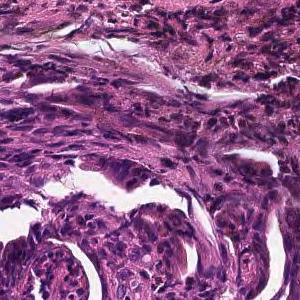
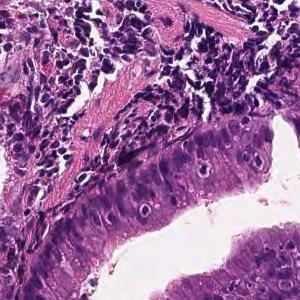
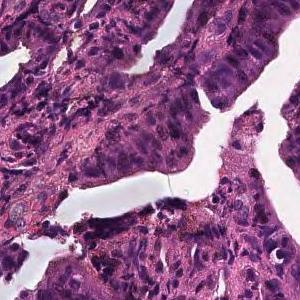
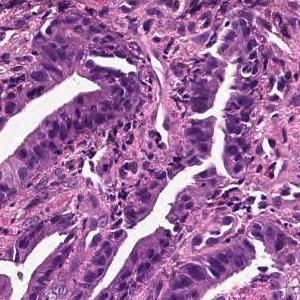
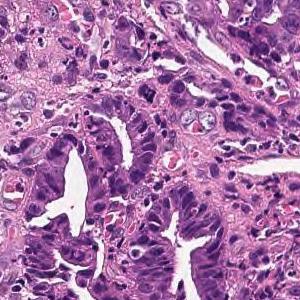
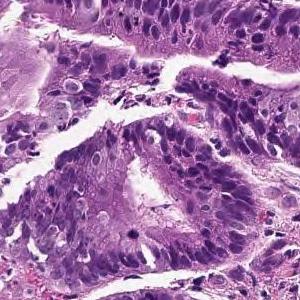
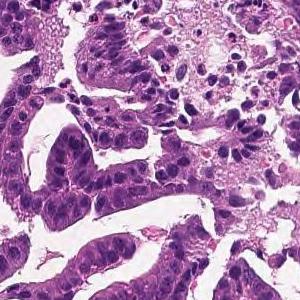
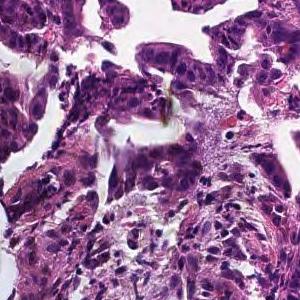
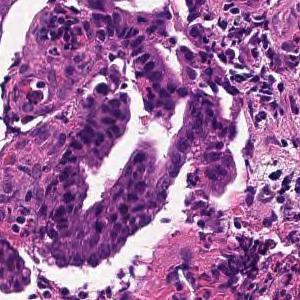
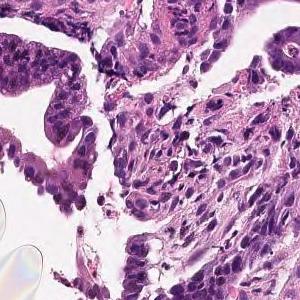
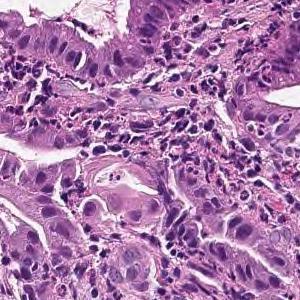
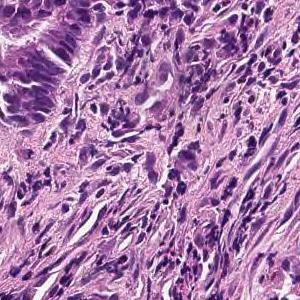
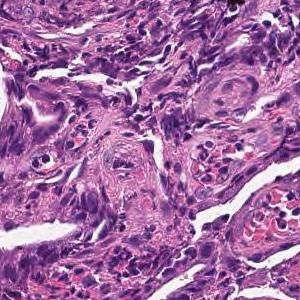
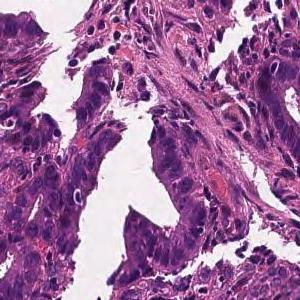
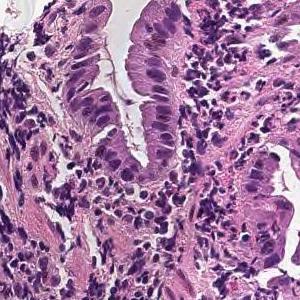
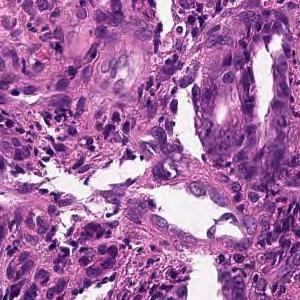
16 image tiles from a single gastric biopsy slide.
Pathology report for the biopsy slide these tiles were cut from. Both the report and the diagnosis are for the whole slide: these tiles need not show every feature named, and some of the tissue shown may not be tumor.
From the superficial epithelium to the muscularis mucosae, tumor tissue consisting of medium-sized and irregular glandular ducts infiltrating is observed. Well differentiated tubular adenocarcinoma
